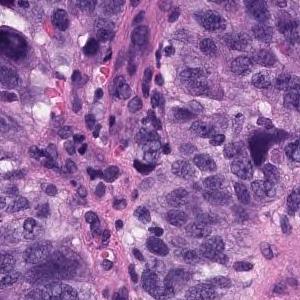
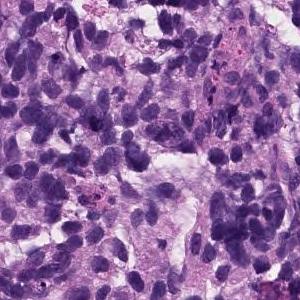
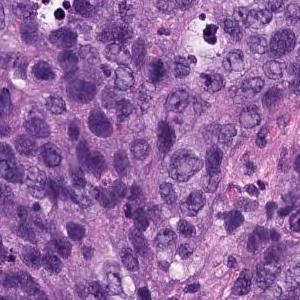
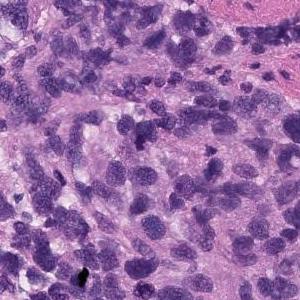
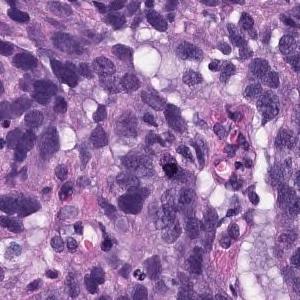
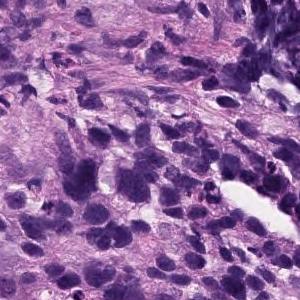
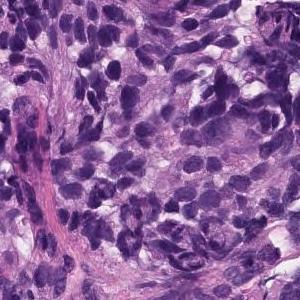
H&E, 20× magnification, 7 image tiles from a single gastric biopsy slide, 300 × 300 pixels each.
Pathology report for the biopsy slide these tiles were cut from. The report and the diagnosis cover the entire slide, so not every feature they name need be visible here, and some tissue shown may not be tumor.
Atypical l cells with atypical nuclei under the mucosa growing in isolation and scattered. Poorly differentiated adenocarcinoma (poorly differentiated adenocarcinoma, non-solid type)
Histologic type: Poorly differentiated adenocarcinoma, non-solid type.
The term "non-solid type" comes from the Japanese Classification of Gastric Carcinoma.
